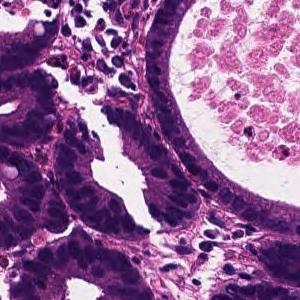
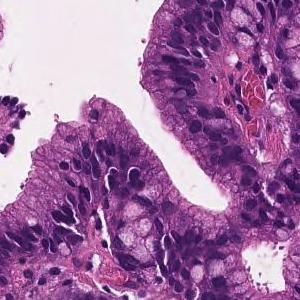
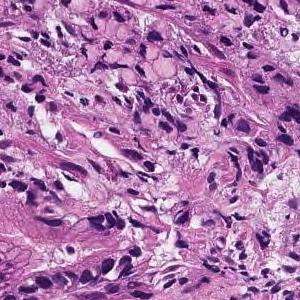
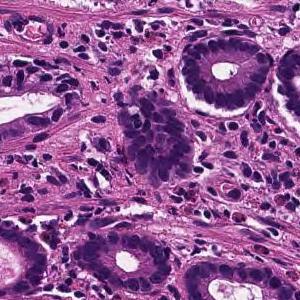
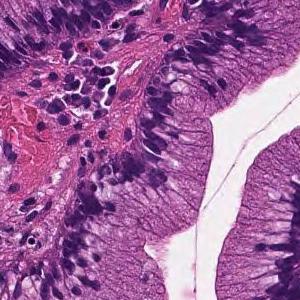
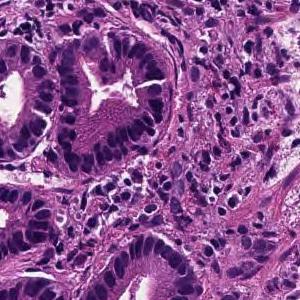
Hematoxylin and eosin stain · ×20 · 6 patches cut from one gastric biopsy slide · 300 × 300 pixels each.
Diagnostic report for the slide these tiles come from. Both the report and the diagnosis are for the whole slide: these tiles need not show every feature named, and some of the tissue shown may not be tumor.
On the superficial epithelium, tumor tissue consisting of medium-sized and irregular glandular ducts partially fused and infiltrated is observed. Well to moderately differentiated tubular adenocarcinoma (well differentiated tubular adenocarcinoma-moderately differentiated tubular adenocarcinoma)
Tumor subtype: well to moderately differentiated tubular adenocarcinoma.
